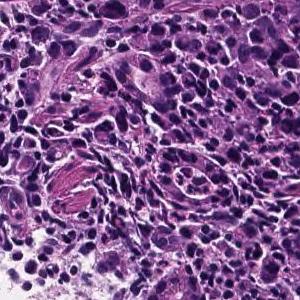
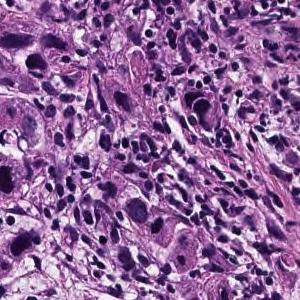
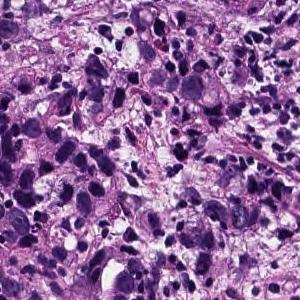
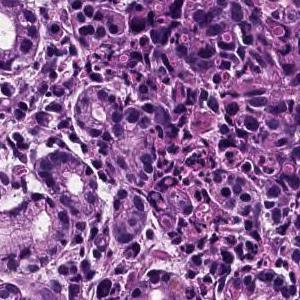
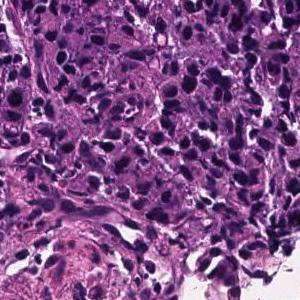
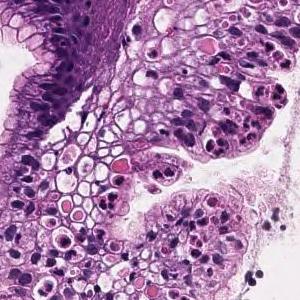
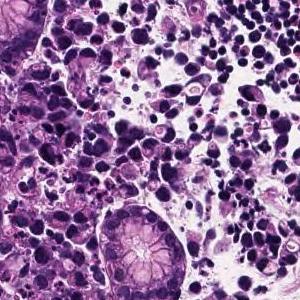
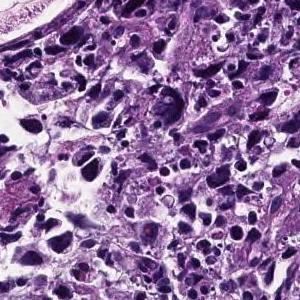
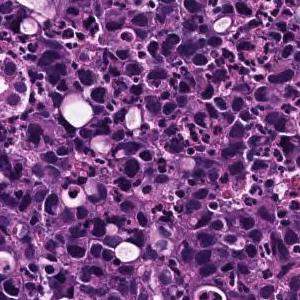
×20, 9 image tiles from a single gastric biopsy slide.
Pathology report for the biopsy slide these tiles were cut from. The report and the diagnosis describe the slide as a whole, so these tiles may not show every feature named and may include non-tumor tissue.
The superficial epithelium shows a large sheet-like shape, and some tumor tissue infiltrates with small irregular ducts. Poorly differentiated adenocarcinoma, solid-type
Histologic type: Poorly differentiated adenocarcinoma, solid type. This name comes from the Japanese Classification of Gastric Carcinoma; the WHO 2019 classification calls it tubular adenocarcinoma, poorly differentiated.
